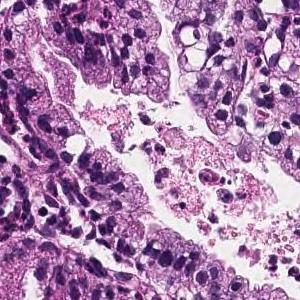
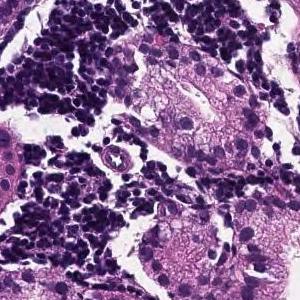
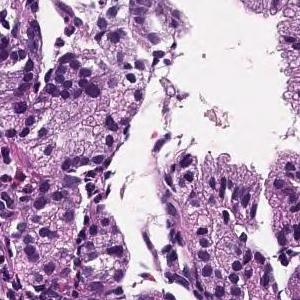
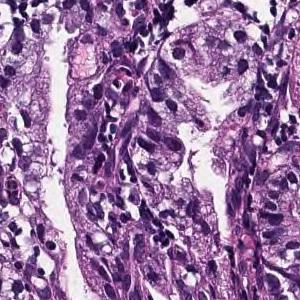
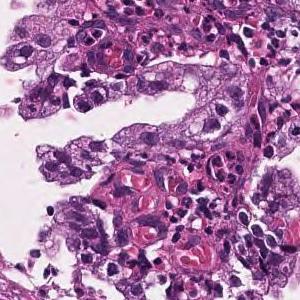
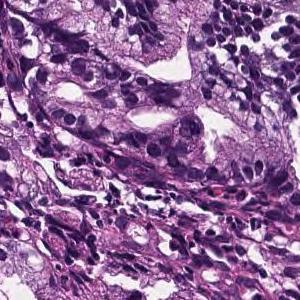
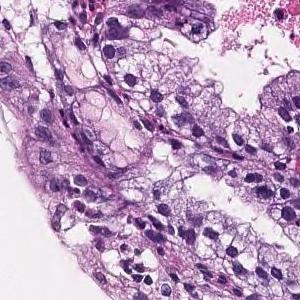
7 tiles from the same stomach biopsy slide; 300 × 300 pixels each; H&E stain; scanned at ×20.
Report on the slide these tiles come from. The report describes the whole slide, diagnosis included: not every finding it names need appear in these tiles, which may also show non-tumor tissue.
In the superficial epithelium, tumor tissue that infiltrates by forming medium-sized papillary or small irregular ducts is observed. Papillary adenocarcinoma
